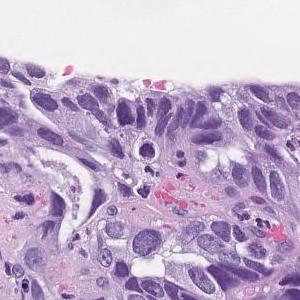
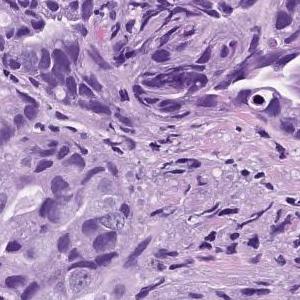
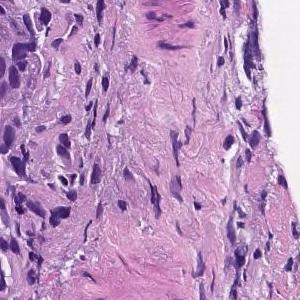
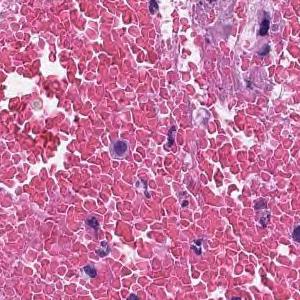
4 patches cut from one gastric biopsy slide · each 300 × 300 pixels · H&E stain.
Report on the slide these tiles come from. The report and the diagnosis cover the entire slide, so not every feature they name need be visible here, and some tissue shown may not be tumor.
In the superficial epithelium, tumor tissue that invades by forming medium-sized to small, irregular ducts is observed. moderately differentiated tubular adenocarcinoma.
